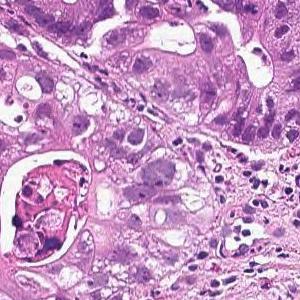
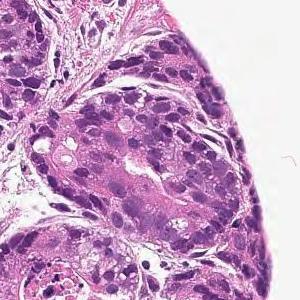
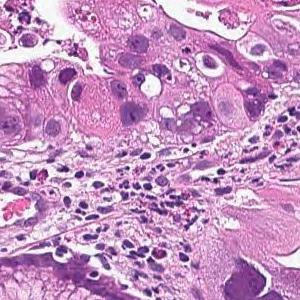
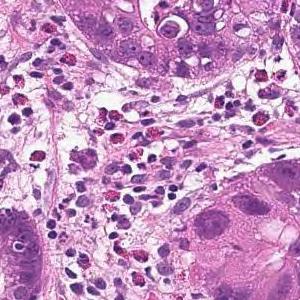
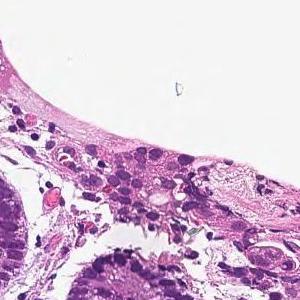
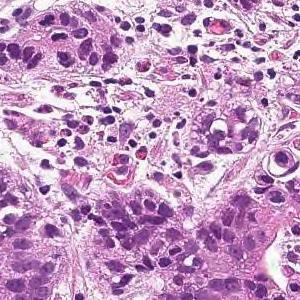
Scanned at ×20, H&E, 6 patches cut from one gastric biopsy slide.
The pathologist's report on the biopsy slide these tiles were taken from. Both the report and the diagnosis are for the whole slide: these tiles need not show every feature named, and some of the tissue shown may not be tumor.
On the superficial epithelium, tumor tissue that infiltrates by forming medium-sized papillary or small irregular ducts is observed. Papillary adenocarcinoma
